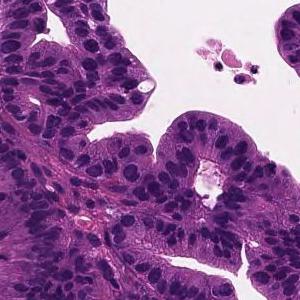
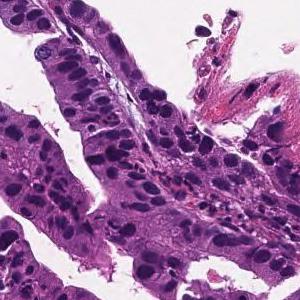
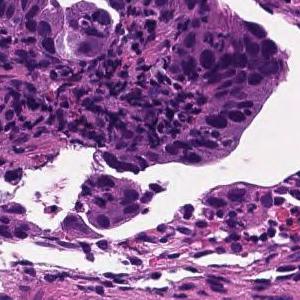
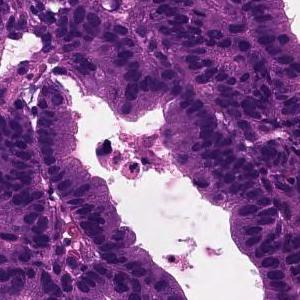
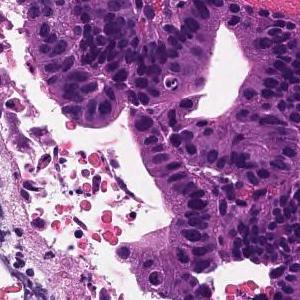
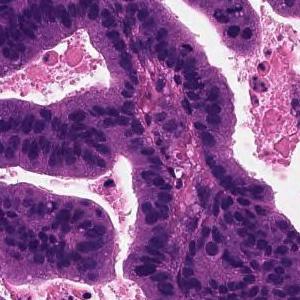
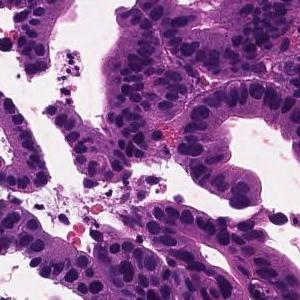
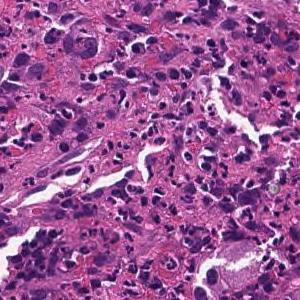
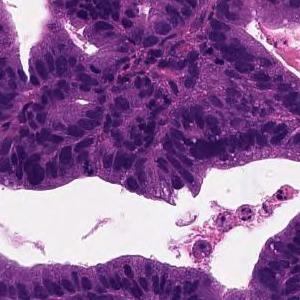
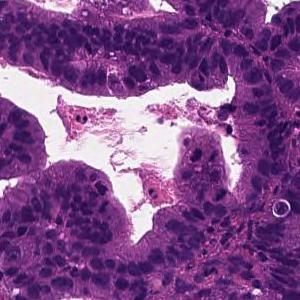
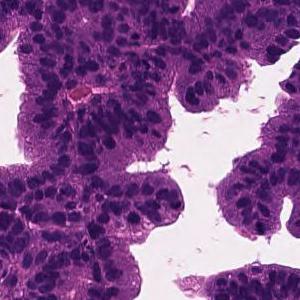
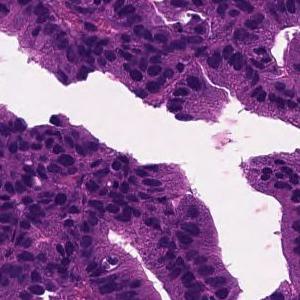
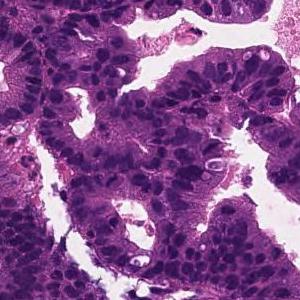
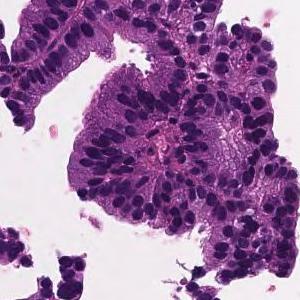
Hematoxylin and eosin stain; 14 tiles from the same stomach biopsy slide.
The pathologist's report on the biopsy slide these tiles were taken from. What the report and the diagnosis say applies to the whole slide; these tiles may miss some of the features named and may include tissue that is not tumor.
Tumor cells are large, highly columnar, large club-shaped nuclei, and are associated with chromatin aggregation. Papillary adenocarcinoma.
